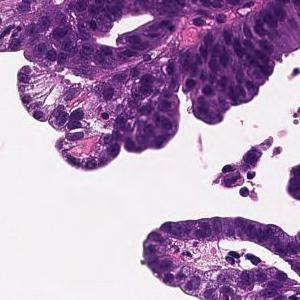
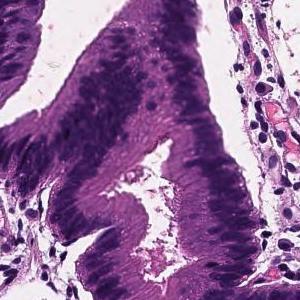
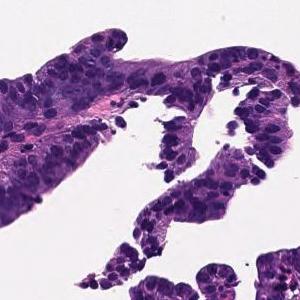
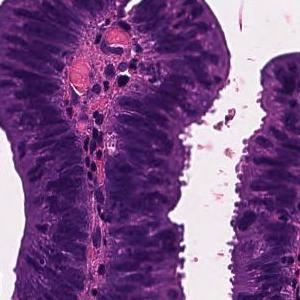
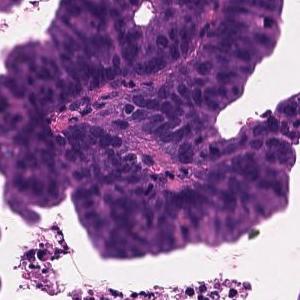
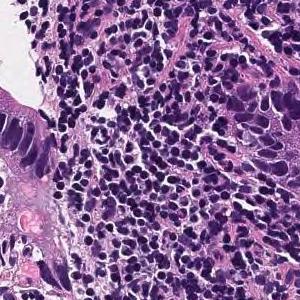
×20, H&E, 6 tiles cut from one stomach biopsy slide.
The pathologist's report on the biopsy slide these tiles were taken from. What the report and the diagnosis say applies to the whole slide; these tiles may miss some of the features named and may include tissue that is not tumor.
Tumor tissue consisting of large papillary structures is found in the superficial epithelium. Papillary adenocarcinoma.
